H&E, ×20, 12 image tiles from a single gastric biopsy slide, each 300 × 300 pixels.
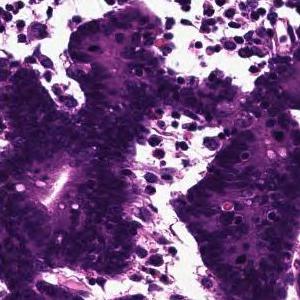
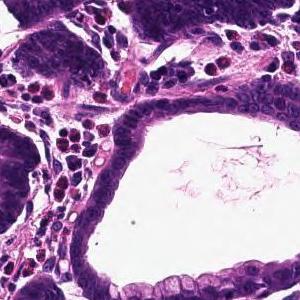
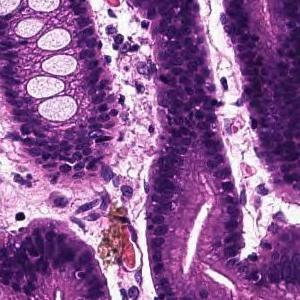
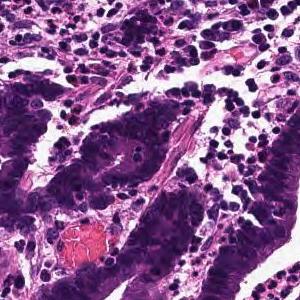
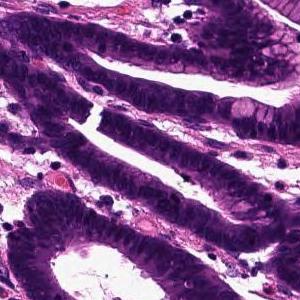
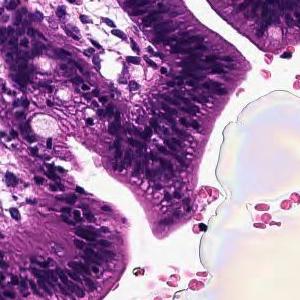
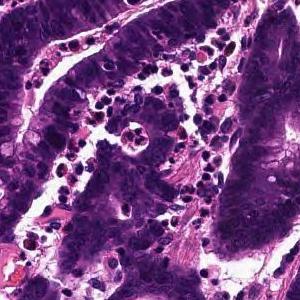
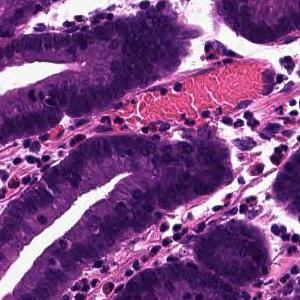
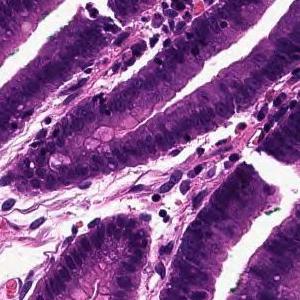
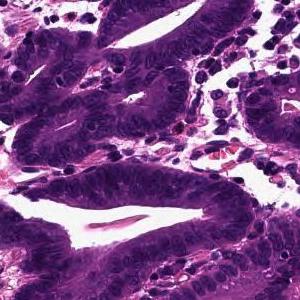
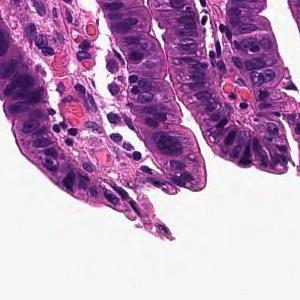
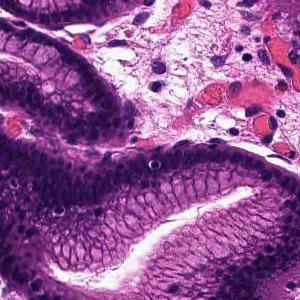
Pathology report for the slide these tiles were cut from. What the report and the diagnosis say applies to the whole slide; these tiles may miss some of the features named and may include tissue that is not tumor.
Tumor tissue that infiltrates by forming large papillary or large irregular glandular ducts is observed confined to the mucosa. Papillary adenocarcinoma
